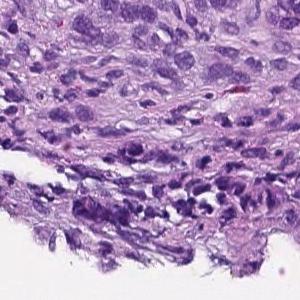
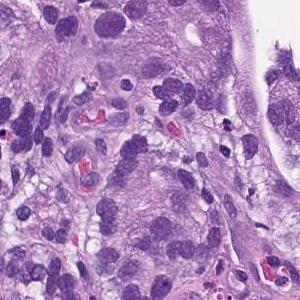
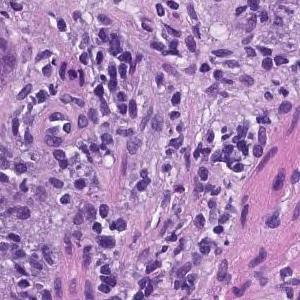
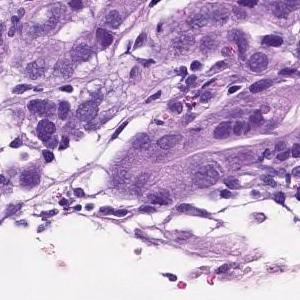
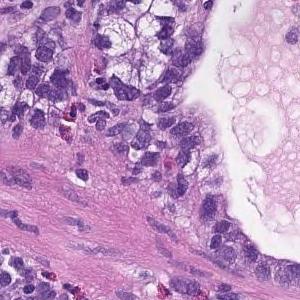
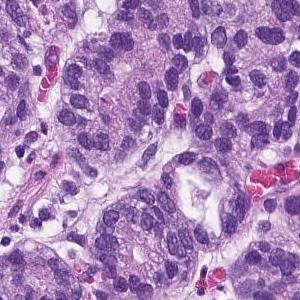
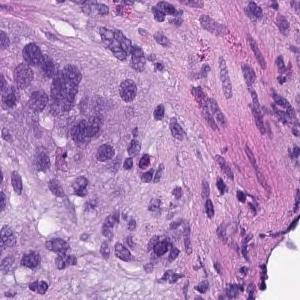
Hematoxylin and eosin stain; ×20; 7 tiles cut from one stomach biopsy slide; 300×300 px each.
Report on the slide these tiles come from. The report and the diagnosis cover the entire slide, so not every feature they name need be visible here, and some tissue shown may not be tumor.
From the superficial epithelium to the muscularis mucosae, tumor tissue consisting of medium-sized and irregular glandular ducts infiltrating is observed. Well differentiated tubular adenocarcinoma
